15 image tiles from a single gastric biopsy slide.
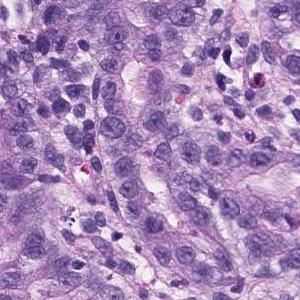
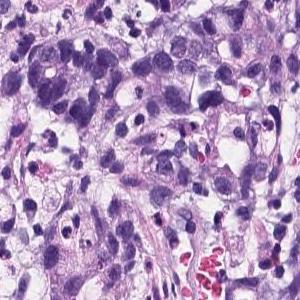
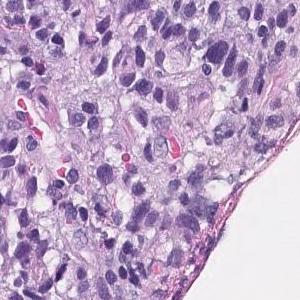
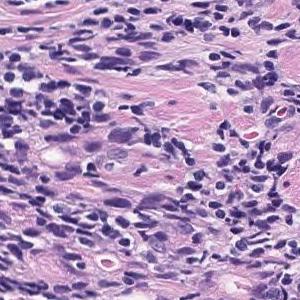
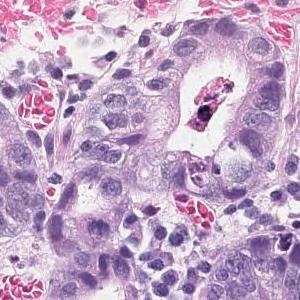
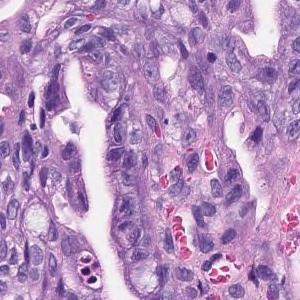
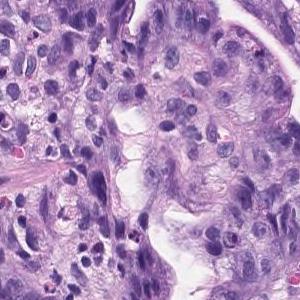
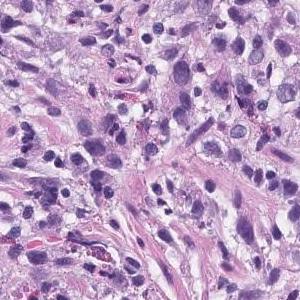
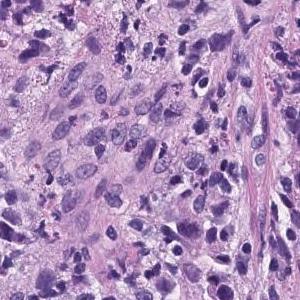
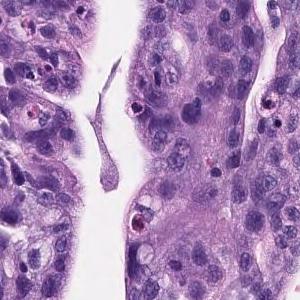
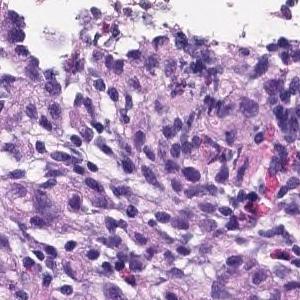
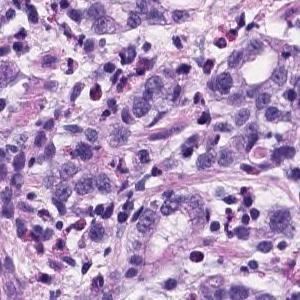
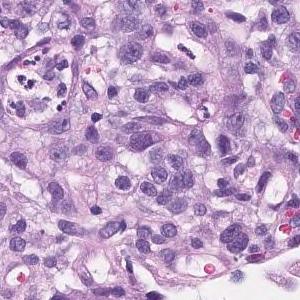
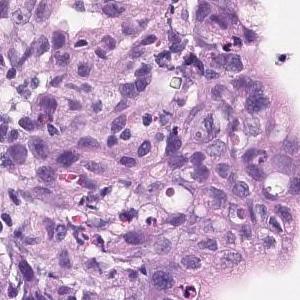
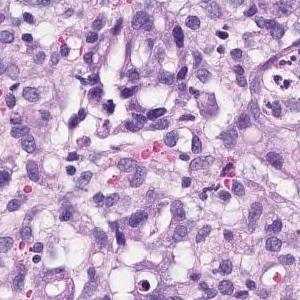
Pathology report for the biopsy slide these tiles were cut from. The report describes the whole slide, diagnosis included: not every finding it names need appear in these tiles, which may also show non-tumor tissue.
There are atypical l cells with atypical nuclei forming cord-like or irregular atypical ducts from solidity and proliferating in a comprehensive manner. Poorly differentiated adenocarcinoma, Moderately differentiated adenocarcinoma (poorly differentiated adenocarcinoma, solid type moderately differentiated tubular adenocarcinoma)
Histologic type: Moderately to poorly differentiated adenocarcinoma.
The solid type named here is a Japanese Classification of Gastric Carcinoma category; WHO 2019 calls it tubular adenocarcinoma, poorly differentiated.
